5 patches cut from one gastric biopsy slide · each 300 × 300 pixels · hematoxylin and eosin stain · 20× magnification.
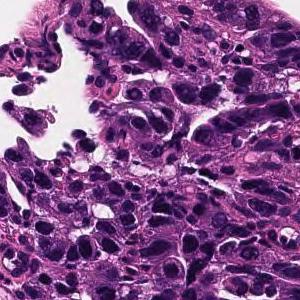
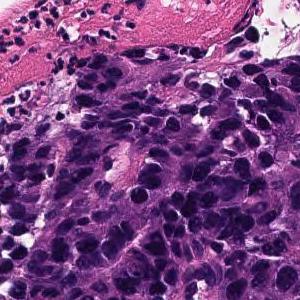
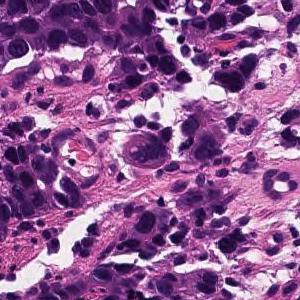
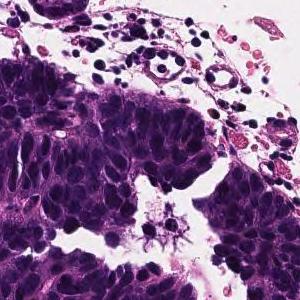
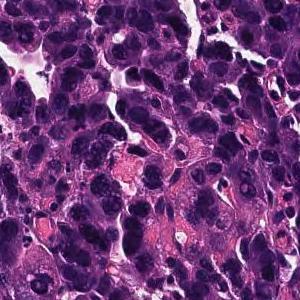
Pathology report for the slide these tiles were cut from. The report and the diagnosis describe the slide as a whole, so these tiles may not show every feature named and may include non-tumor tissue.
In the superficial epithelium, tumor tissue that invades by forming medium-sized to small, irregular ducts is observed. moderately differentiated tubular adenocarcinoma.
